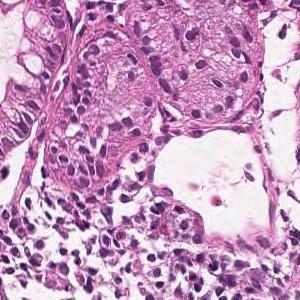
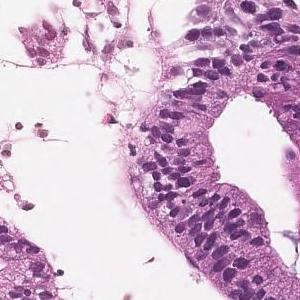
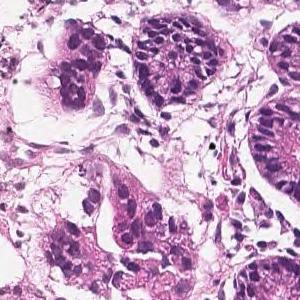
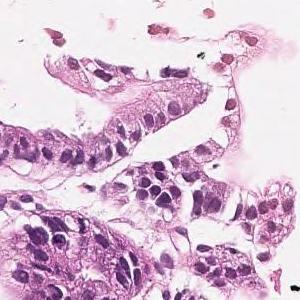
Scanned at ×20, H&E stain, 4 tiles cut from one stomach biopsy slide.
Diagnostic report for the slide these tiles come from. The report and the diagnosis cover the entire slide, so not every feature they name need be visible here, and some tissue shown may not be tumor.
In the superficial epithelium, tumor tissue that invades by forming medium-sized to small, irregular ducts is observed. Well differentiated tubular adenocarcinoma.
